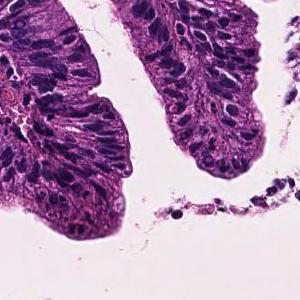
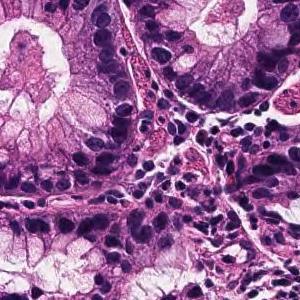
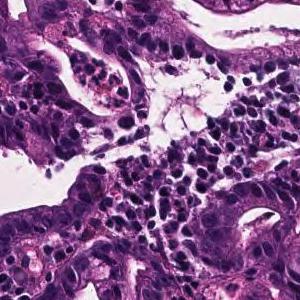
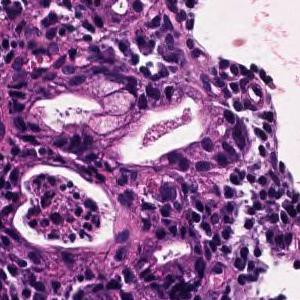
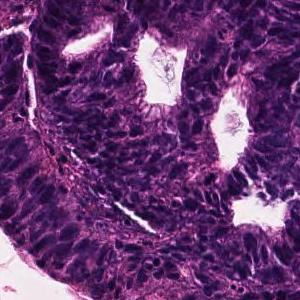
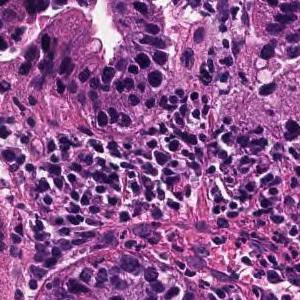
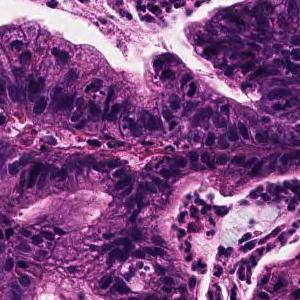
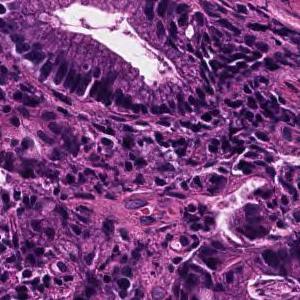
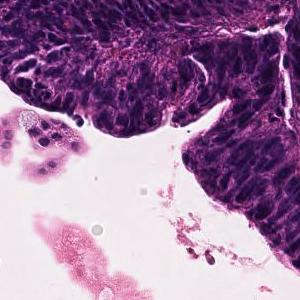
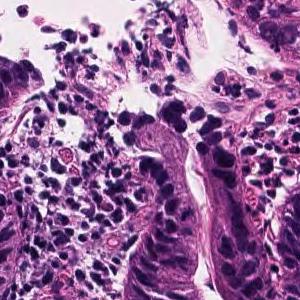
H&E stain, ×20, 10 tiles cut from one stomach biopsy slide, each 300 × 300 pixels.
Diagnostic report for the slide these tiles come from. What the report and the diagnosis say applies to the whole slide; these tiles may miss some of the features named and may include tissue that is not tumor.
Tumor cells are large, highly columnar, large club-shaped nuclei, and are associated with chromatin aggregation. Papillary adenocarcinoma.
